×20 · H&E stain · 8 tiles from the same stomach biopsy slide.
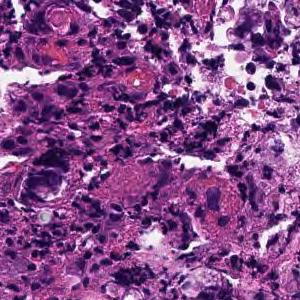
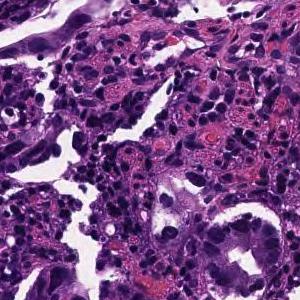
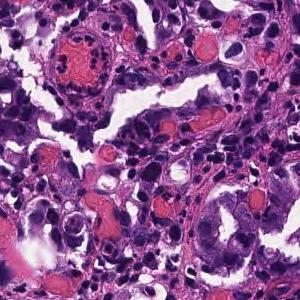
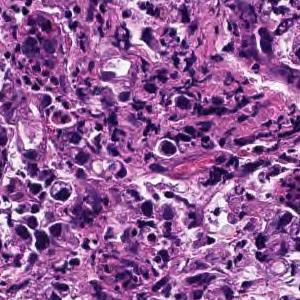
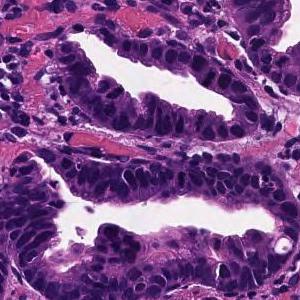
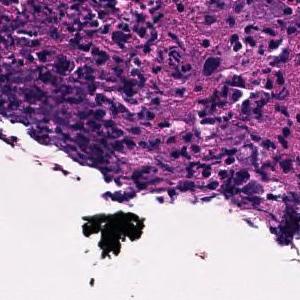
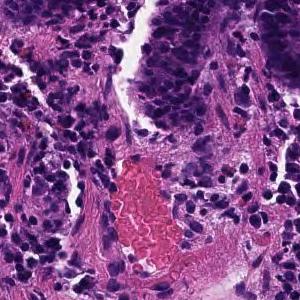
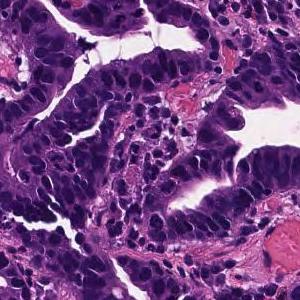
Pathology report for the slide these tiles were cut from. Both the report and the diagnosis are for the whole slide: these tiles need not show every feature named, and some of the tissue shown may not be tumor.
On the superficial epithelium, tumor tissue that infiltrates by forming medium-sized papillary or small irregular ducts is observed. Papillary adenocarcinoma
